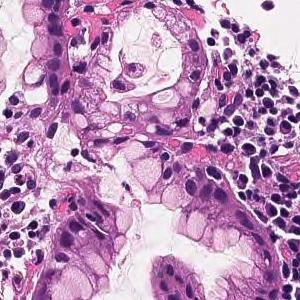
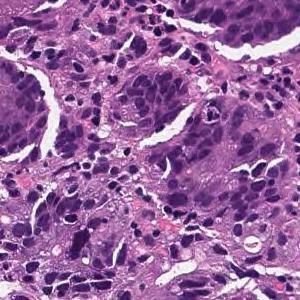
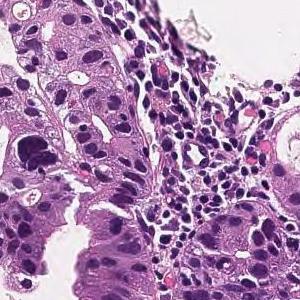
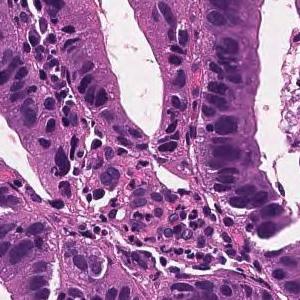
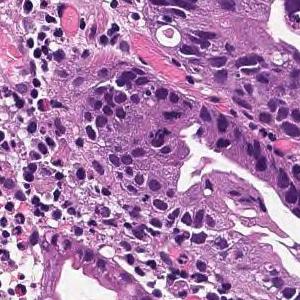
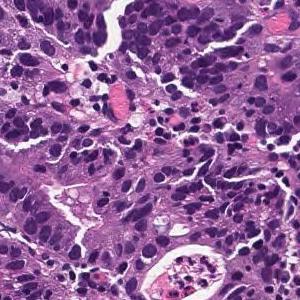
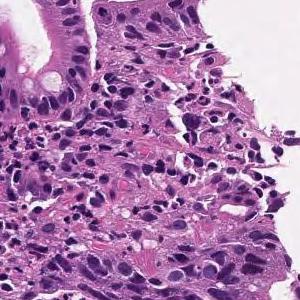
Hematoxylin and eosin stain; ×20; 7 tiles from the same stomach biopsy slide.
The pathologist's report on the biopsy slide these tiles were taken from. What the report and the diagnosis say applies to the whole slide; these tiles may miss some of the features named and may include tissue that is not tumor.
From the superficial epithelium to the muscularis mucosae, tumor tissue consisting of medium-sized and irregular glandular ducts infiltrating is observed. Well differentiated tubular adenocarcinoma
